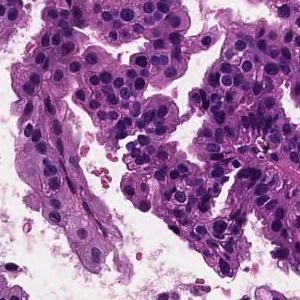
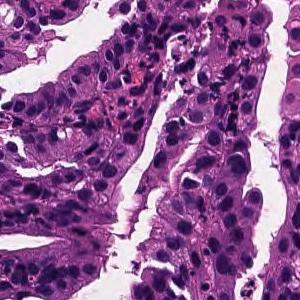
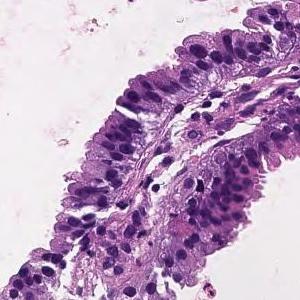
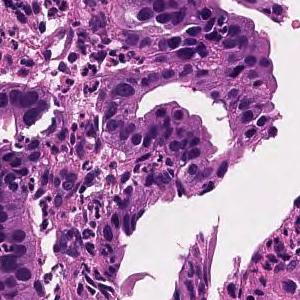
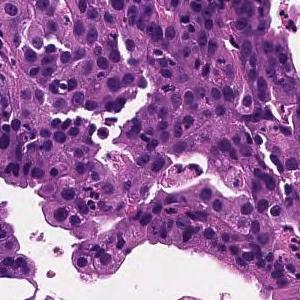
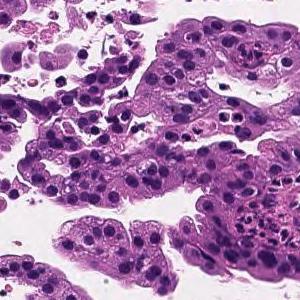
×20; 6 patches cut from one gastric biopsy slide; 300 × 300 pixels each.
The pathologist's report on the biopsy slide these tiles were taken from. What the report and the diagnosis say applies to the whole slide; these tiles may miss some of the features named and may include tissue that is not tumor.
On the superficial epithelium, tumor tissue consisting of large, irregular glandular ducts partially fused and infiltrated is observed. Well to moderately differentiated tubular adenocarcinoma (well differentiated tubular adenocarcinoma, moderately differentiated tubular adenocarcinoma)
Classified as well to moderately differentiated tubular adenocarcinoma.
